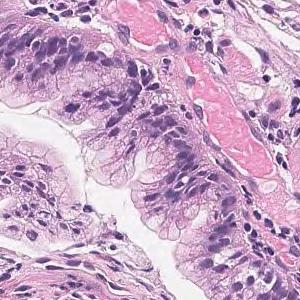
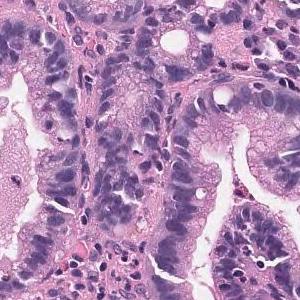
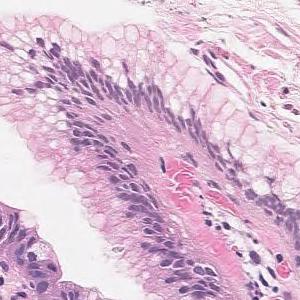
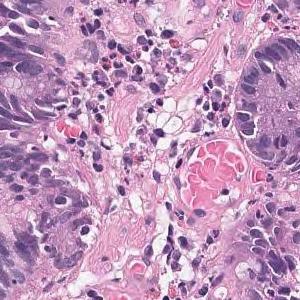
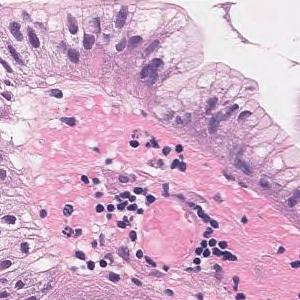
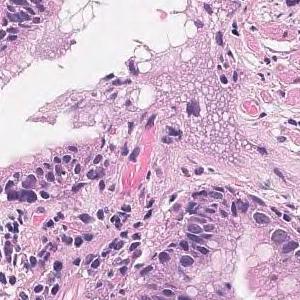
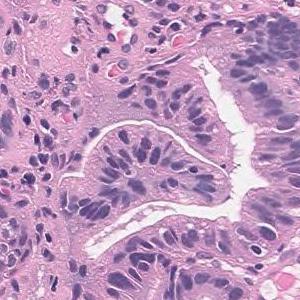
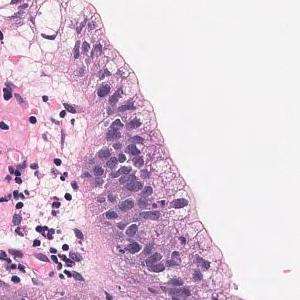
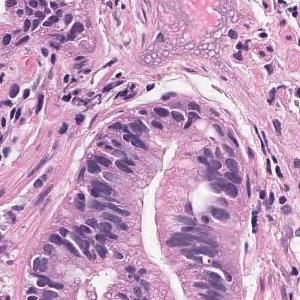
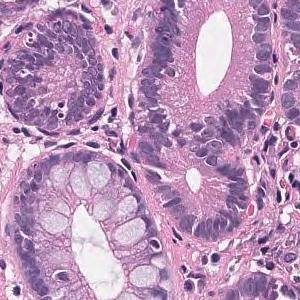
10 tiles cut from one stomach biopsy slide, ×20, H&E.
Pathology report for the slide these tiles were cut from. The report describes the whole slide, diagnosis included: not every finding it names need appear in these tiles, which may also show non-tumor tissue.
Tumor tissue that grows tubular from the surface to the glandular fossa is seen. Adenocarcinoma.
Tumor subtype: well differentiated tubular adenocarcinoma.
